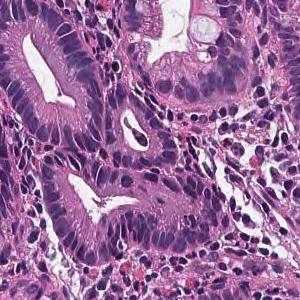
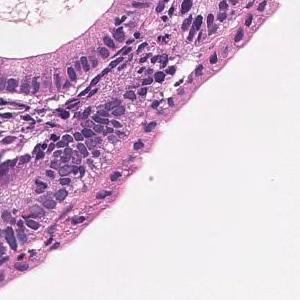
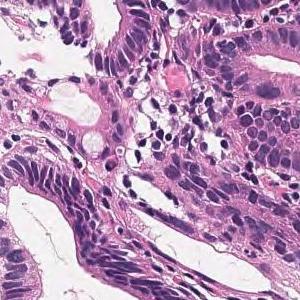
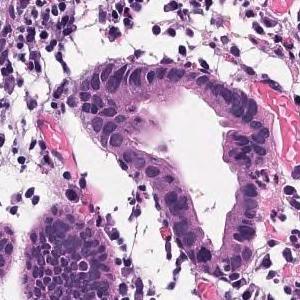
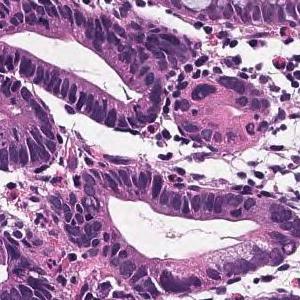
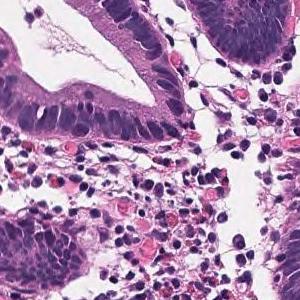
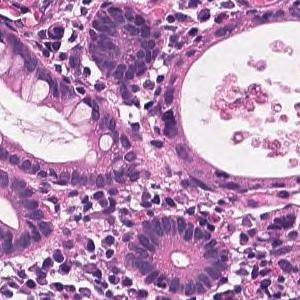
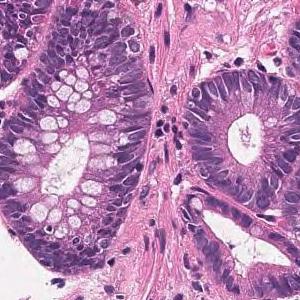
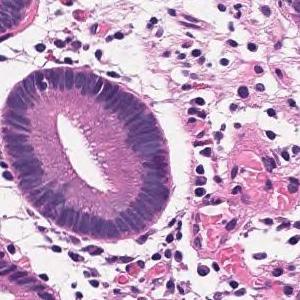
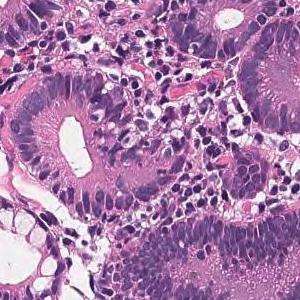
10 patches cut from one gastric biopsy slide, each 300 × 300 pixels.
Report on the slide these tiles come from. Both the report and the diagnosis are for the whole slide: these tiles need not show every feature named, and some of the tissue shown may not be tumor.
Tumor tissue in which medium to small irregular ducts infiltrate and proliferate in the submucosa can be seen in the epithelium. Well differentiated tubular adenocarcinoma
